11 tiles cut from one stomach biopsy slide · each 300 × 300 pixels · ×20 · hematoxylin and eosin stain.
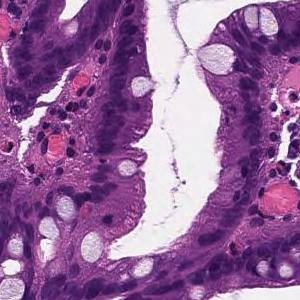
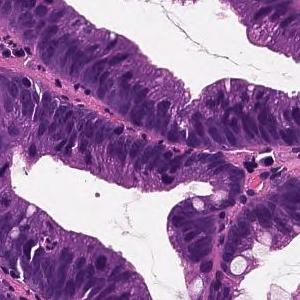
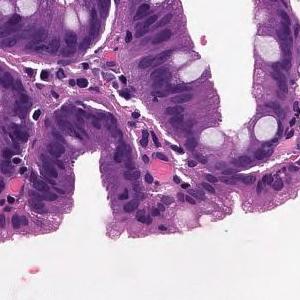
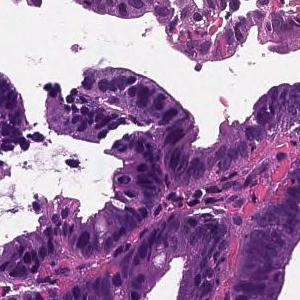
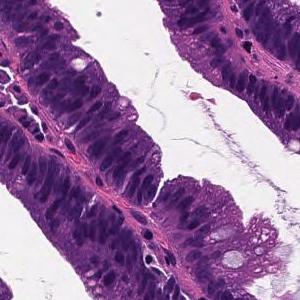
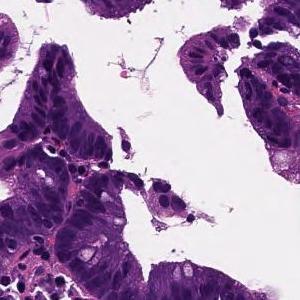
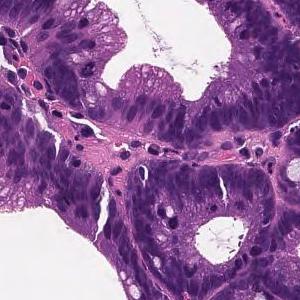
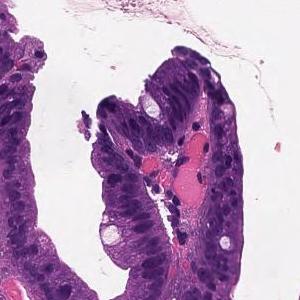
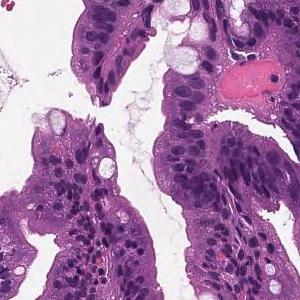
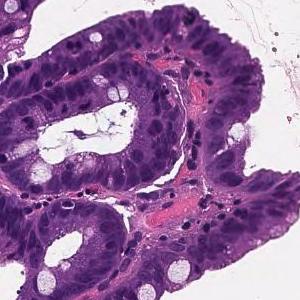
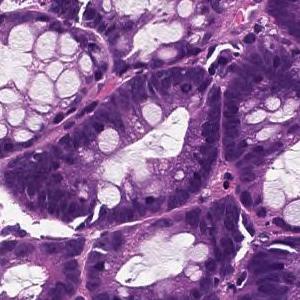
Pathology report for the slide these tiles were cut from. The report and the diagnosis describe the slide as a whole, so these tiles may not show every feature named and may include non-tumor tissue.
moderately differentiated tubular adenocarcinoma infiltrates in the submucosa massively.
Subtype: Moderately differentiated tubular adenocarcinoma.
